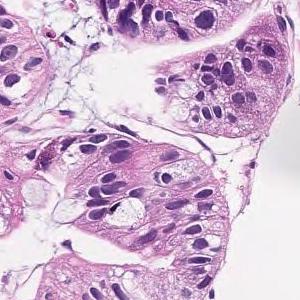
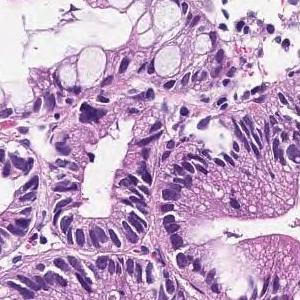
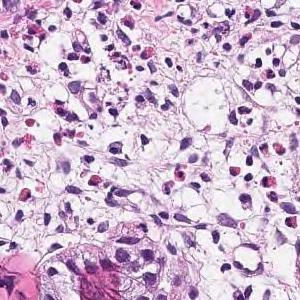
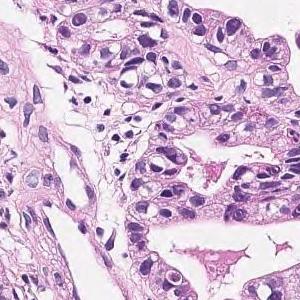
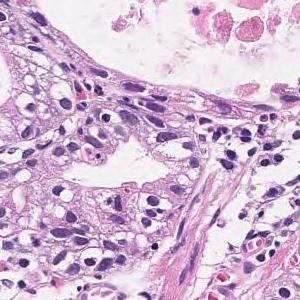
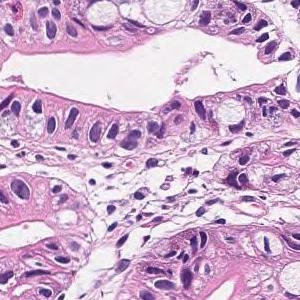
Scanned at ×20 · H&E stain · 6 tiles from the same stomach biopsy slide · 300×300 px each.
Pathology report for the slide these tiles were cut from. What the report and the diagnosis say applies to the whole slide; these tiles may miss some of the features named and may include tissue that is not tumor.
In the superficial epithelium, tumor tissue that invades by forming medium-sized to small, irregular ducts is observed. Moderately differentiated adenocarcinoma.
Tumor subtype: moderately differentiated tubular adenocarcinoma.
